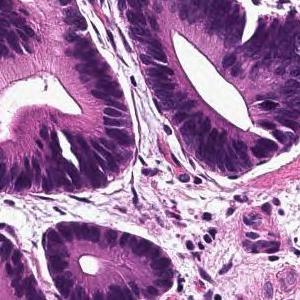
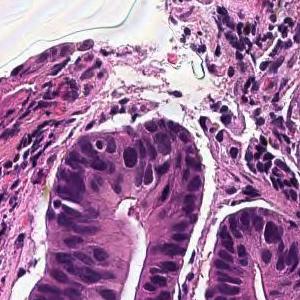
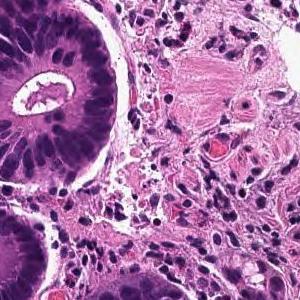
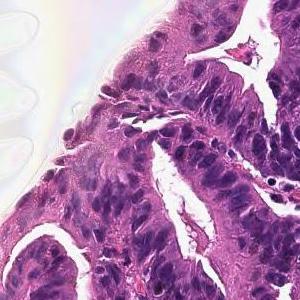
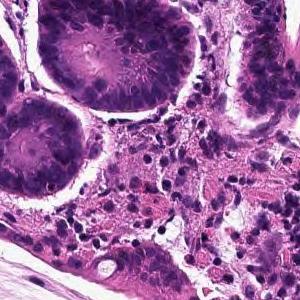
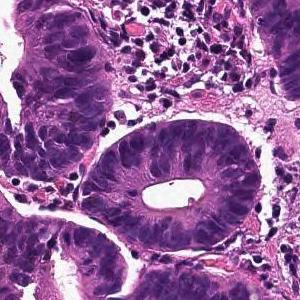
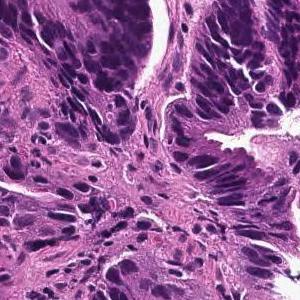
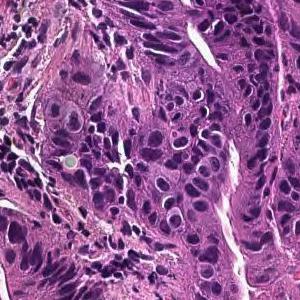
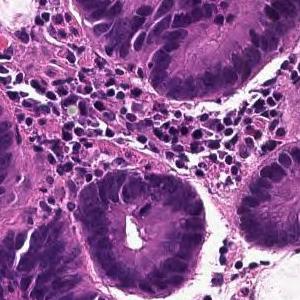
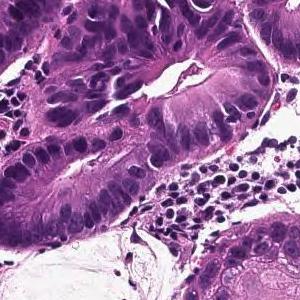
H&E, 20× magnification, 10 tiles from the same stomach biopsy slide.
Pathology report for the biopsy slide these tiles were cut from. Both the report and the diagnosis are for the whole slide: these tiles need not show every feature named, and some of the tissue shown may not be tumor.
From the superficial epithelium to the muscularis mucosae, tumor tissue consisting of medium-sized and irregular glandular ducts infiltrating is observed. Well differentiated tubular adenocarcinoma
